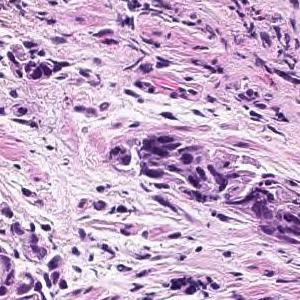
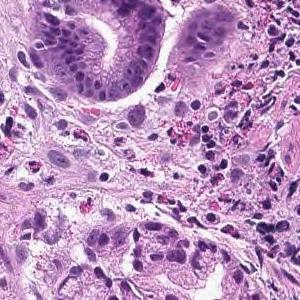
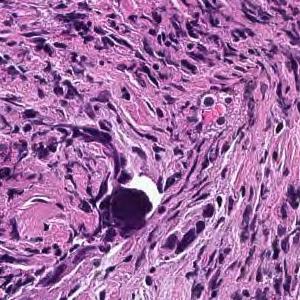
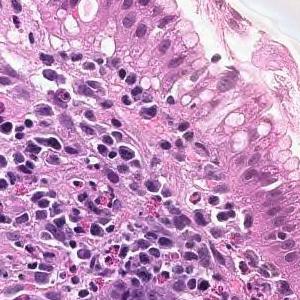
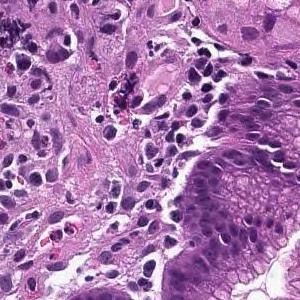
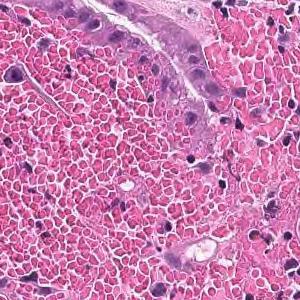
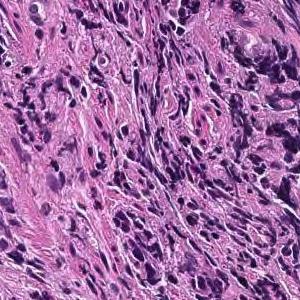
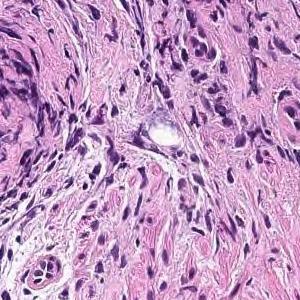
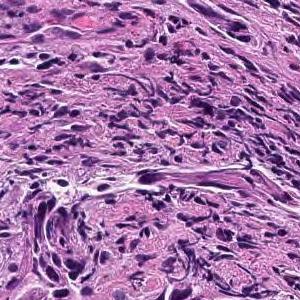
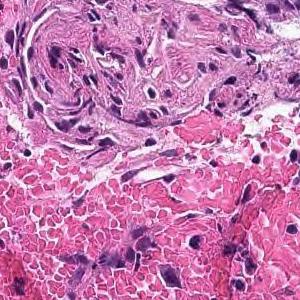
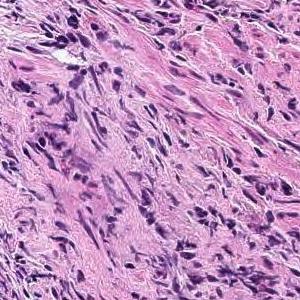
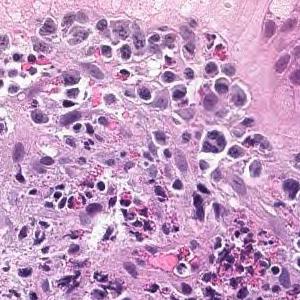
12 tiles cut from one stomach biopsy slide; 300×300 px each.
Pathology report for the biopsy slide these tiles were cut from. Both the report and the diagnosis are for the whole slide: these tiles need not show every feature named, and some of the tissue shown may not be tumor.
In the superficial epithelium, tumor tissue that invades by forming medium-sized to small, irregular ducts is observed. moderately differentiated tubular adenocarcinoma.
